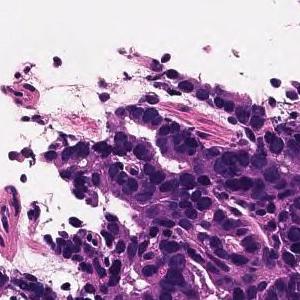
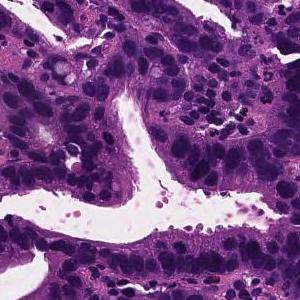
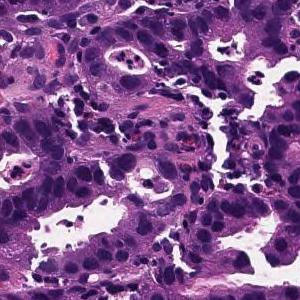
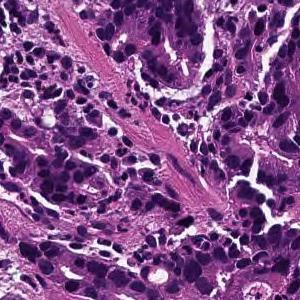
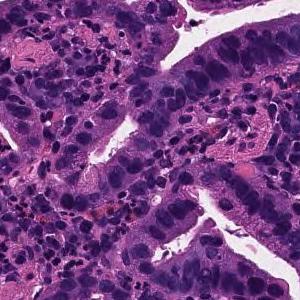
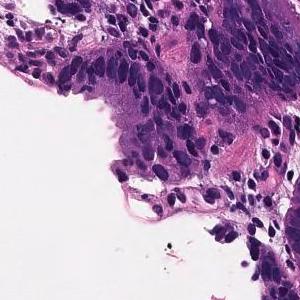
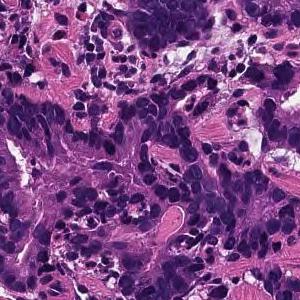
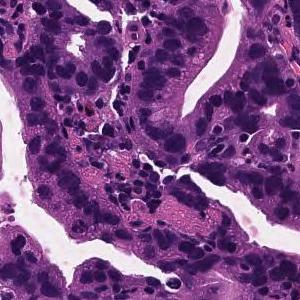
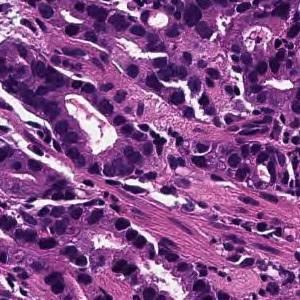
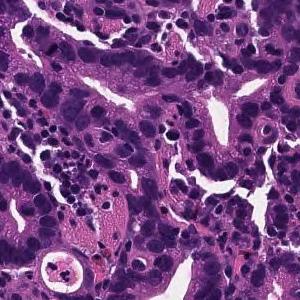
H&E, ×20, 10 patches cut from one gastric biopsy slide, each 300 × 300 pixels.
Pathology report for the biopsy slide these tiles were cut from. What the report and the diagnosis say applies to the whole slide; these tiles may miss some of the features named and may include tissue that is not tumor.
On the superficial epithelium, tumor tissue is found in which medium-sized irregular gland ducts fuse with each other and infiltrate. moderately differentiated tubular adenocarcinoma
